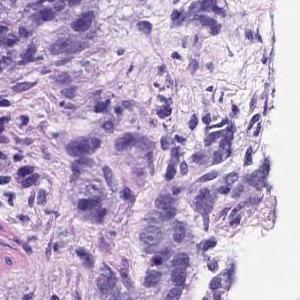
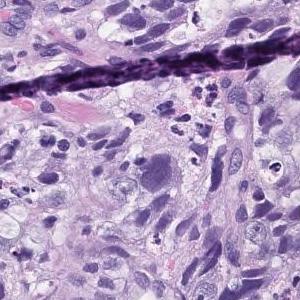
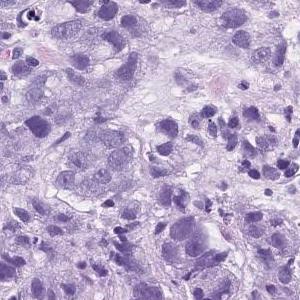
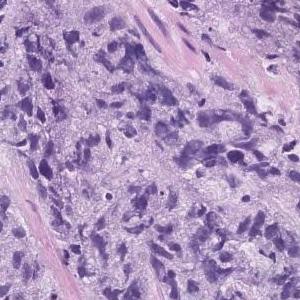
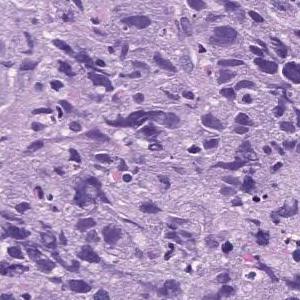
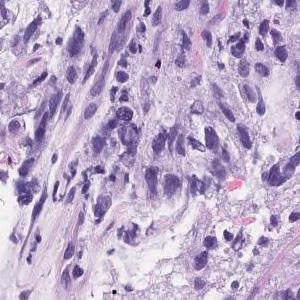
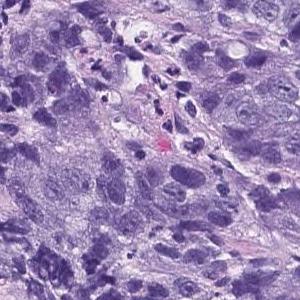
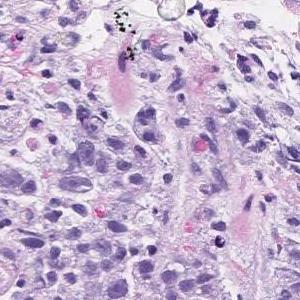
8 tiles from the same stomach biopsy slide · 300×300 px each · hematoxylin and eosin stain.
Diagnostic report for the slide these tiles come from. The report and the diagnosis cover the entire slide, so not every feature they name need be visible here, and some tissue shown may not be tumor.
Atypical l cells with atypical nuclei forming solid vesicles or small irregular atypical ducts that proliferate in a complex manner. poorly differentiated adenocarcinoma, solid type, moderately differentiated tubular adenocarcinoma
"Solid type" is a category of the Japanese Classification of Gastric Carcinoma; in the WHO 2019 classification it is tubular adenocarcinoma, poorly differentiated.
